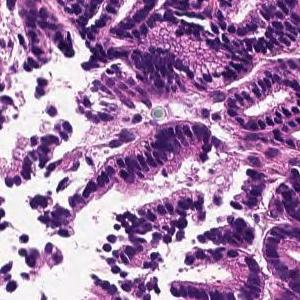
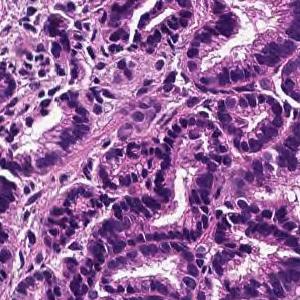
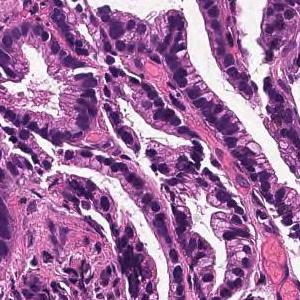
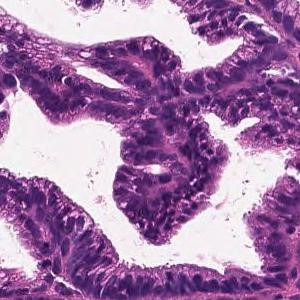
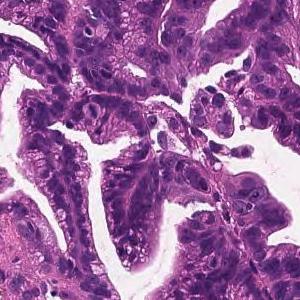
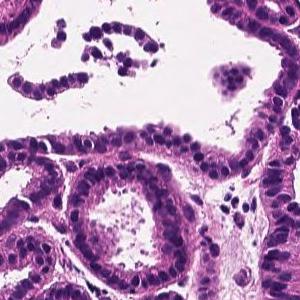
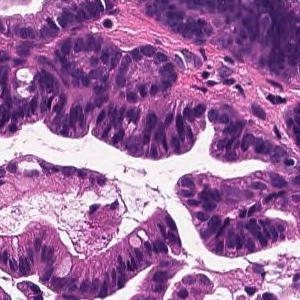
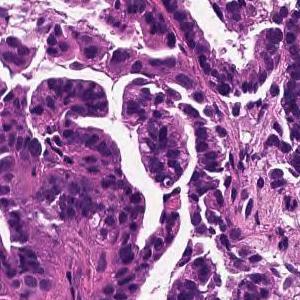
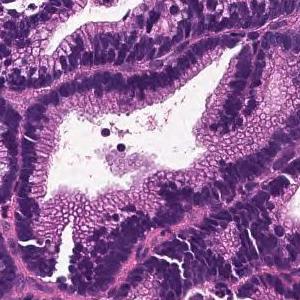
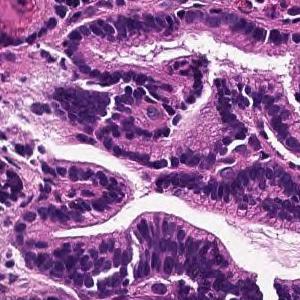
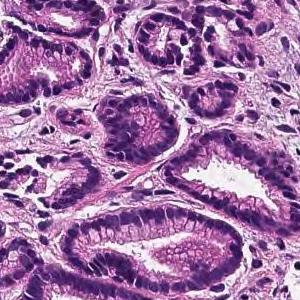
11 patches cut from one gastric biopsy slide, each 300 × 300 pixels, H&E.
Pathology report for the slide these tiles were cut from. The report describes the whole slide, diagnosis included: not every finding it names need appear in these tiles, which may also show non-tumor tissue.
On the superficial epithelium, tumor tissue consisting of large irregular glandular ducts partially fused and infiltrated is observed. Well to moderately differentiated tubular adenocarcinoma (well differentiated tubular adenocarcinoma, moderately differentiated tubular adenocarcinoma)
Histological subtype: Well to moderately differentiated tubular adenocarcinoma.
